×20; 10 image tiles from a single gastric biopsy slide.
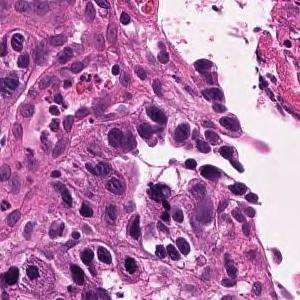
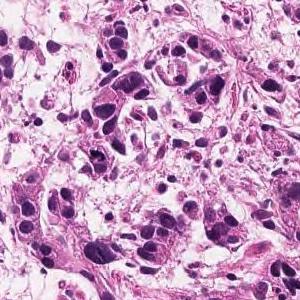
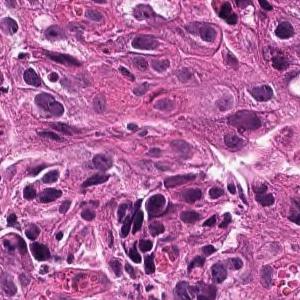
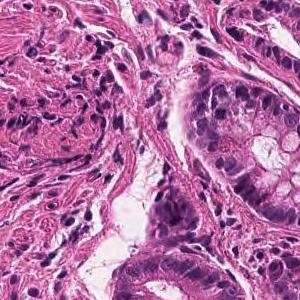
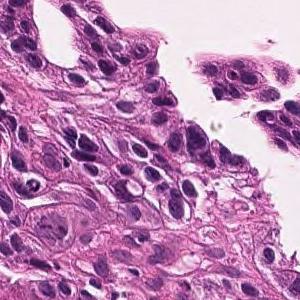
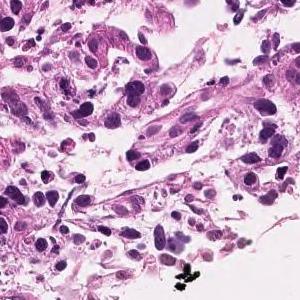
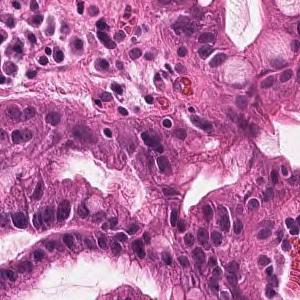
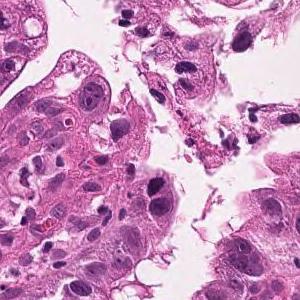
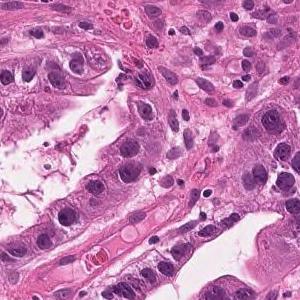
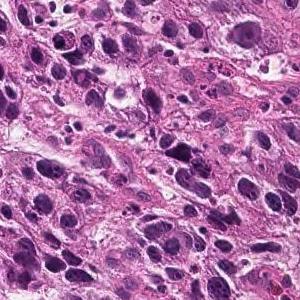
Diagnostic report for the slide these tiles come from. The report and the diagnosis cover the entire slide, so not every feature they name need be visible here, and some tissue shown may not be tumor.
Tumor tissue consisting of medium-sized, cord-like or irregular glandular infiltration is observed in the superficial epithelium. Poorly differentiated adenocarcinoma, non-solid type or moderately differentiated tubular adenocarcinoma
Tumor subtype: moderately to poorly differentiated adenocarcinoma.
The term "non-solid type" comes from the Japanese Classification of Gastric Carcinoma.
